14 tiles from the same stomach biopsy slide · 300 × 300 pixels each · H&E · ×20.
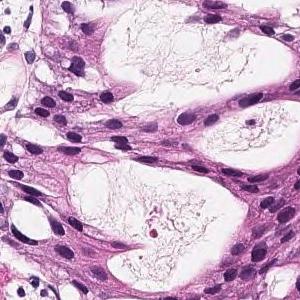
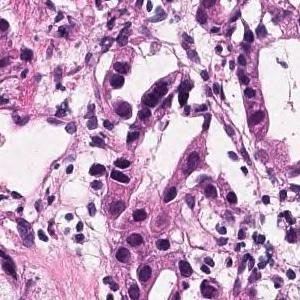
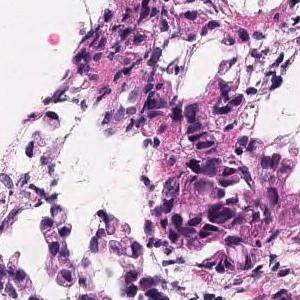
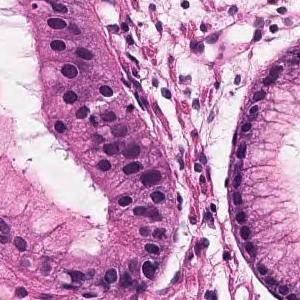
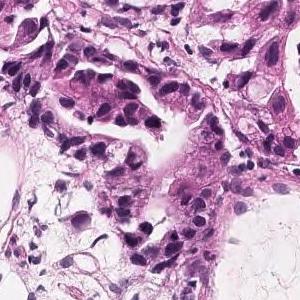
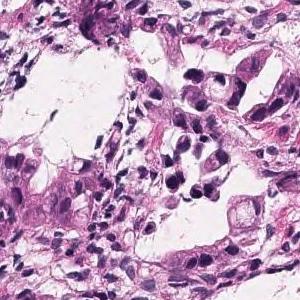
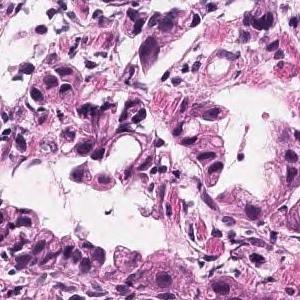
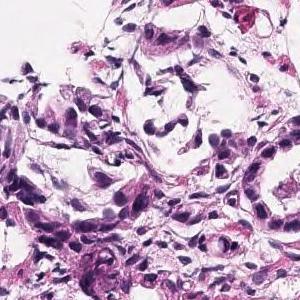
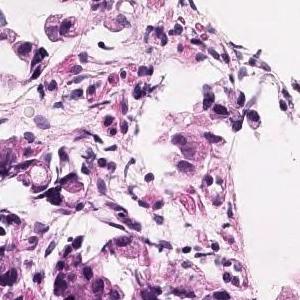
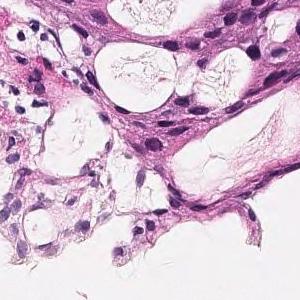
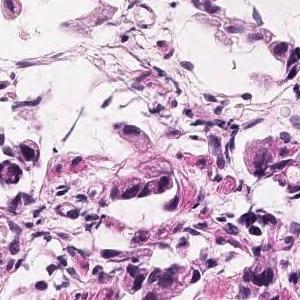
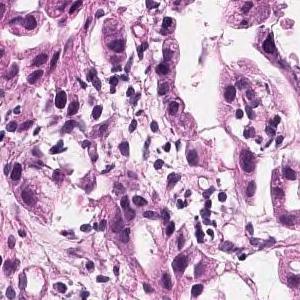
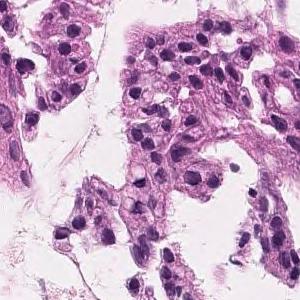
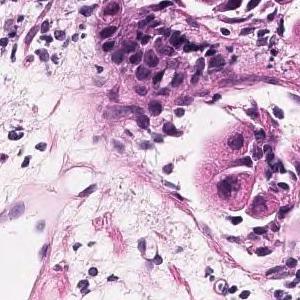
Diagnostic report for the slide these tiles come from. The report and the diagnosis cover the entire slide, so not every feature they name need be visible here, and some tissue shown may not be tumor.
In the superficial epithelium, tumor tissue that invades by forming medium-sized to small, irregular ducts is observed. moderately differentiated tubular adenocarcinoma.
